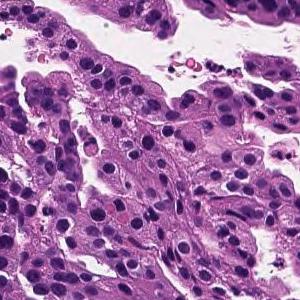
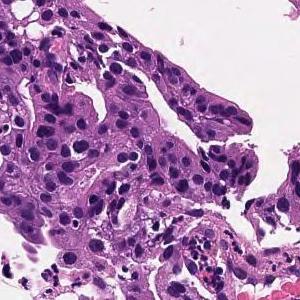
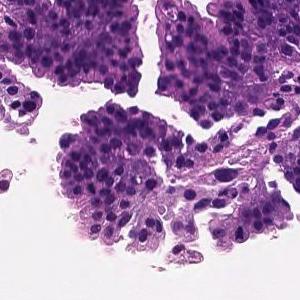
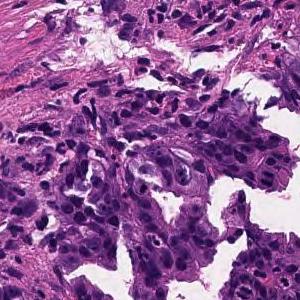
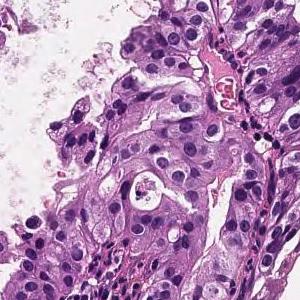
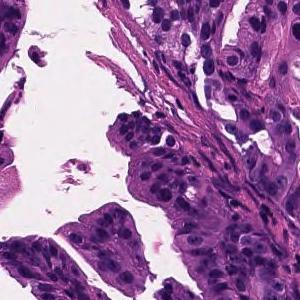
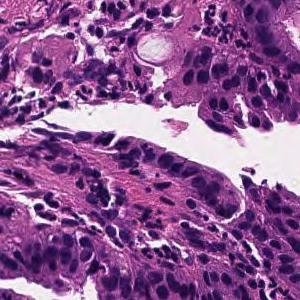
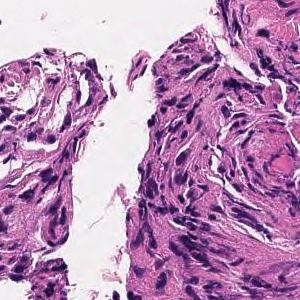
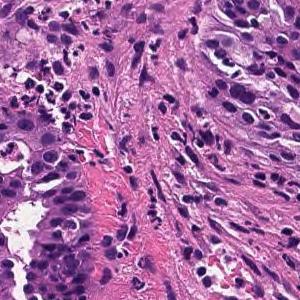
9 tiles cut from one stomach biopsy slide, 300×300 px each, hematoxylin and eosin stain.
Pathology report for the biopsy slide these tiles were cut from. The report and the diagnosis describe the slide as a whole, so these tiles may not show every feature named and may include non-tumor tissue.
On the superficial epithelium, tumor tissue consisting of large, irregular glandular ducts partially fused and infiltrated is observed. Well to moderately differentiated tubular adenocarcinoma (well differentiated tubular adenocarcinoma, moderately differentiated tubular adenocarcinoma)
Histological subtype: Well to moderately differentiated tubular adenocarcinoma.
